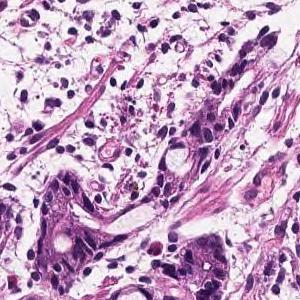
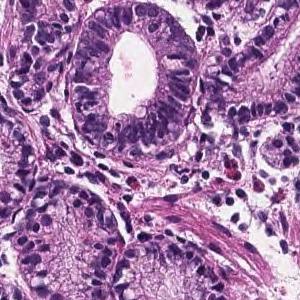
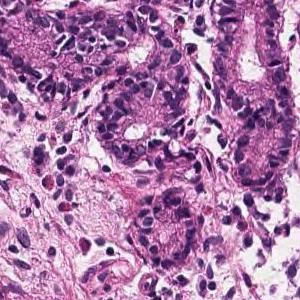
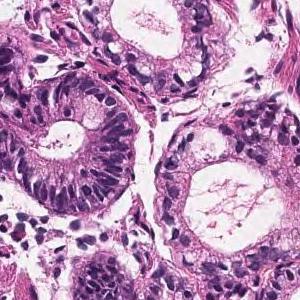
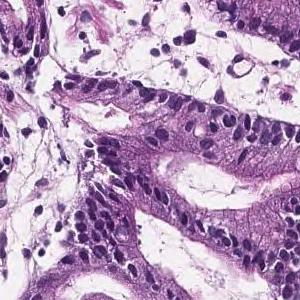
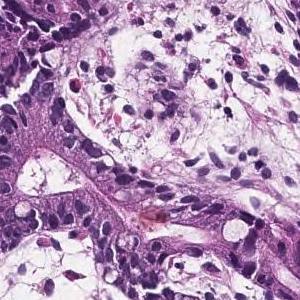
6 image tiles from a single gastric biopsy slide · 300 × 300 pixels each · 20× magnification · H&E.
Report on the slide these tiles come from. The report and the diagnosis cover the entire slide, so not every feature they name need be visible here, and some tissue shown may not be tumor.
In the superficial epithelium, tumor tissue that invades by forming medium-sized to small, irregular ducts is observed. Well differentiated tubular adenocarcinoma.
